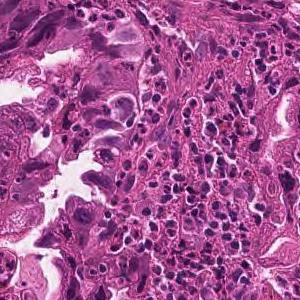
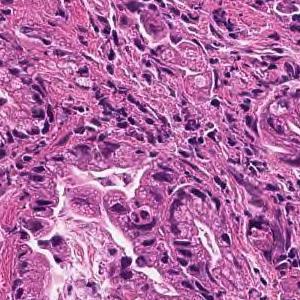
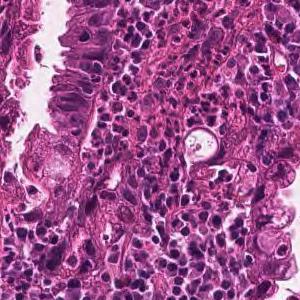
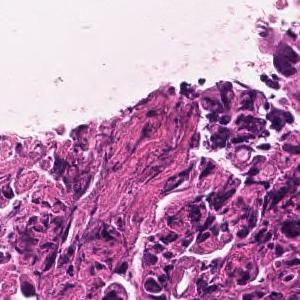
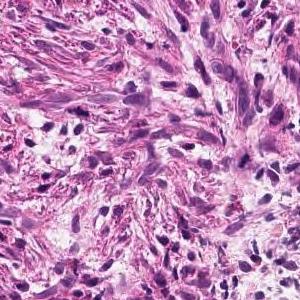
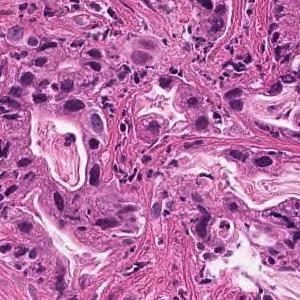
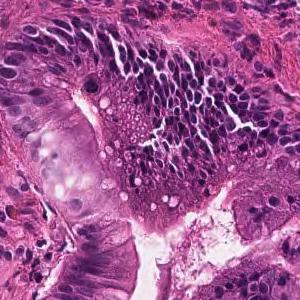
7 image tiles from a single gastric biopsy slide.
Report on the slide these tiles come from. Both the report and the diagnosis are for the whole slide: these tiles need not show every feature named, and some of the tissue shown may not be tumor.
Medium to small, irregular glandular ducts are formed in the superficial epithelium, and in some cases, the glandular ducts are fused to show solid alveolar lesions and infiltrating tumor tissue is observed. Moderately to poorly differentiated adenocarcinoma.
